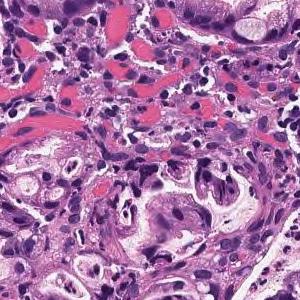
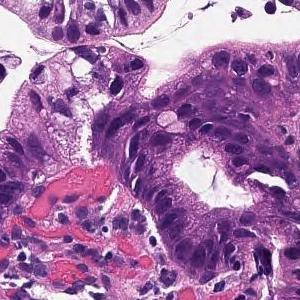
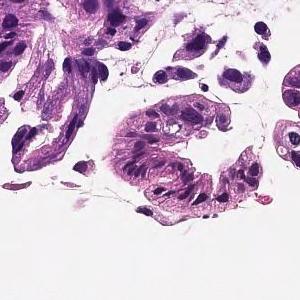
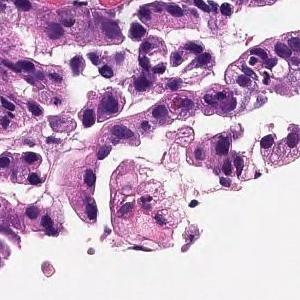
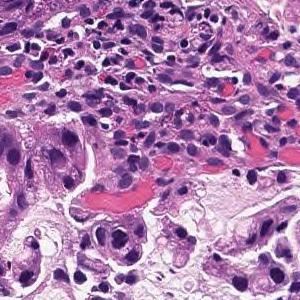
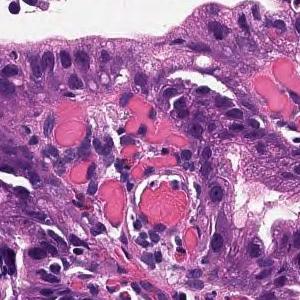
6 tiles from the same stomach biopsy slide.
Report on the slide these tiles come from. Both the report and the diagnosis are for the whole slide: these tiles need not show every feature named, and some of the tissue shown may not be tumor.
In the superficial epithelium, tumor tissue that invades by forming medium-sized to small, irregular ducts is observed. moderately differentiated tubular adenocarcinoma.
